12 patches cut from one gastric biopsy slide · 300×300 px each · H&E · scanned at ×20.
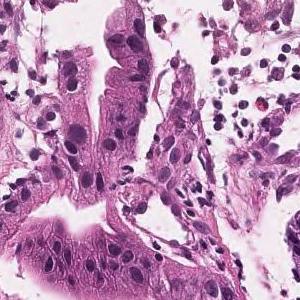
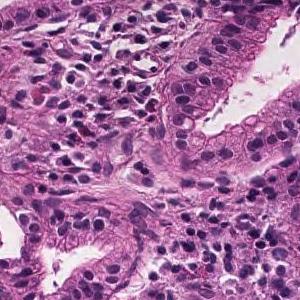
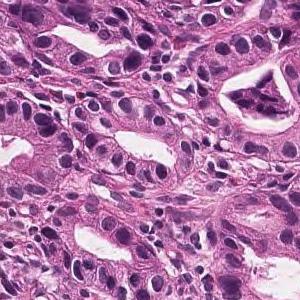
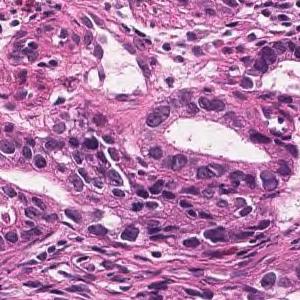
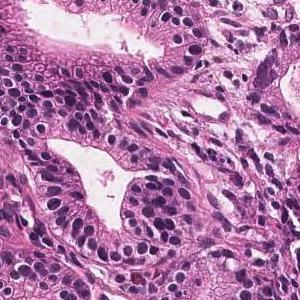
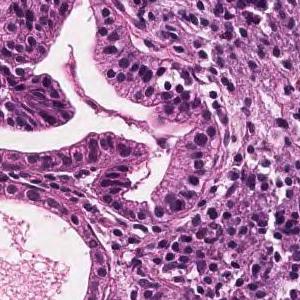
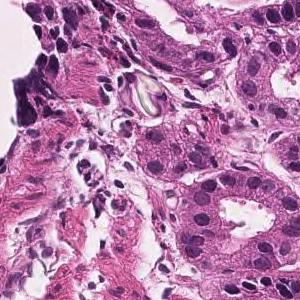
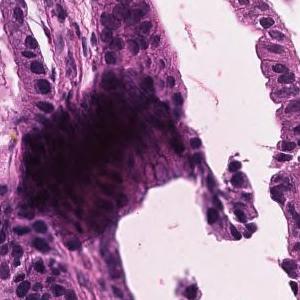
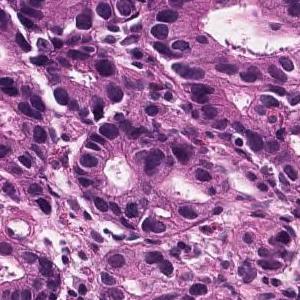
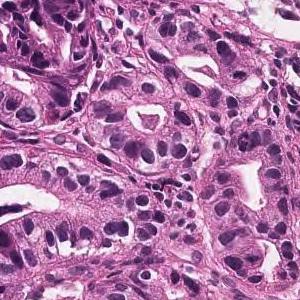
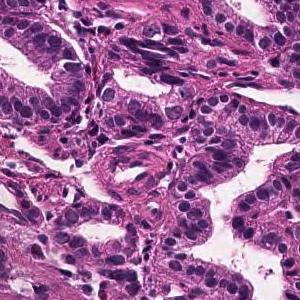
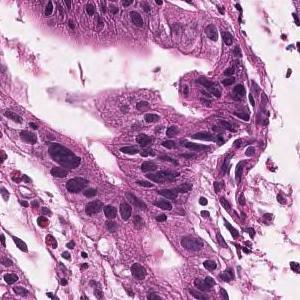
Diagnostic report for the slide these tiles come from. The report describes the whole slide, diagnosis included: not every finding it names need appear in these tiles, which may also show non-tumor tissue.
Tumor tissue consisting of medium-sized and irregular ducts is observed infiltrating in the superficial epithelium. Tumor cells are highly columnar, with nuclei aligned basolaterally and polarized. Well differentiated tubular adenocarcinoma.
